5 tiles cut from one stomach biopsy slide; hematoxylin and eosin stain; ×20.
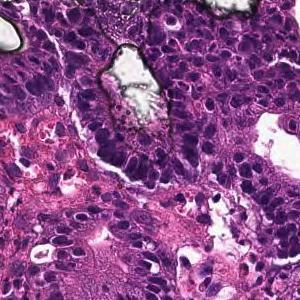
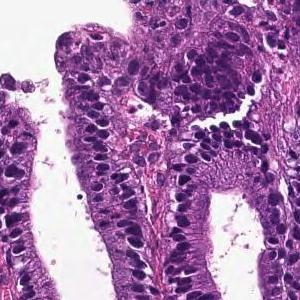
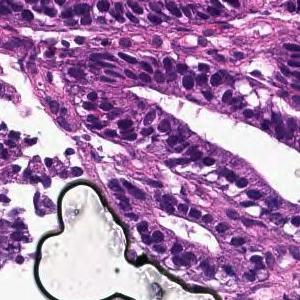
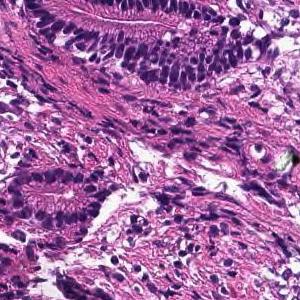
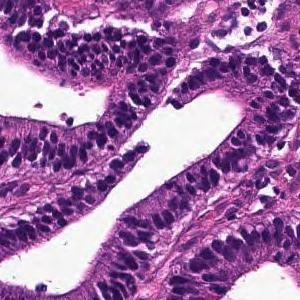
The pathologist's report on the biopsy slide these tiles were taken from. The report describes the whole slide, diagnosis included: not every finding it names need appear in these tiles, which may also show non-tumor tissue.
On the superficial epithelium, tumor tissue that infiltrates by forming medium-sized round or small irregular ducts is observed. Papillary adenocarcinoma
